H&E stain, 20× magnification, 16 tiles cut from one stomach biopsy slide.
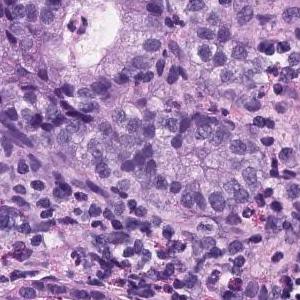
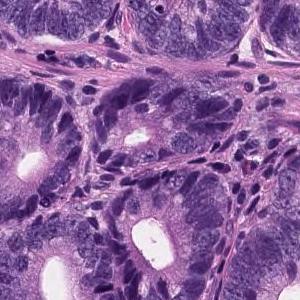
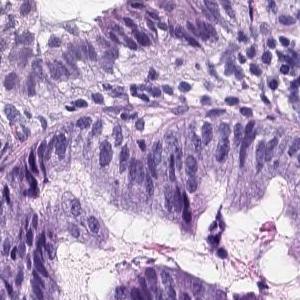
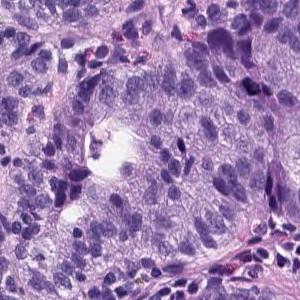
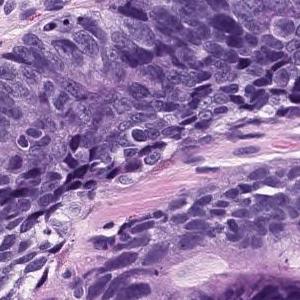
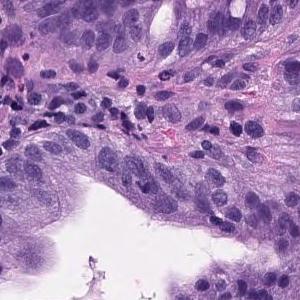
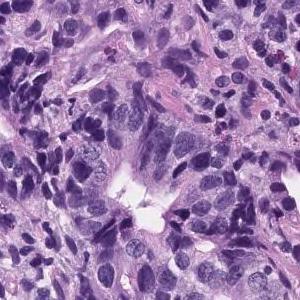
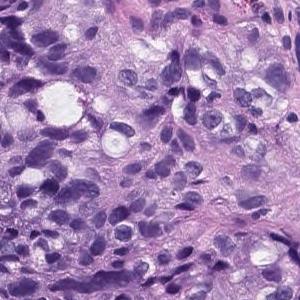
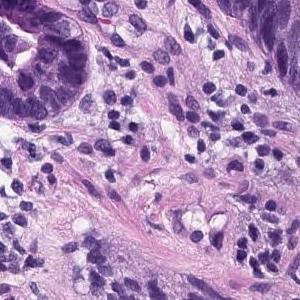
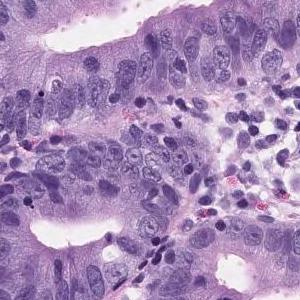
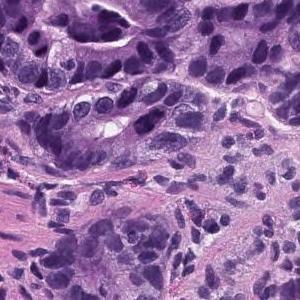
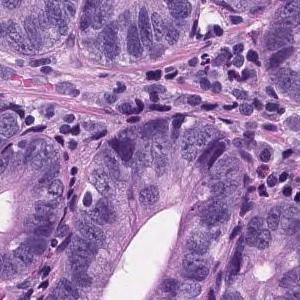
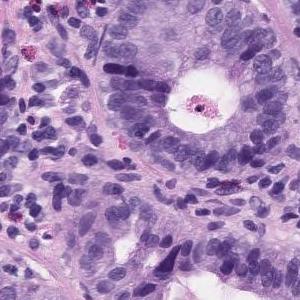
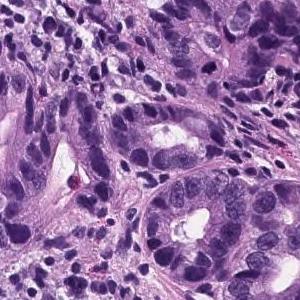
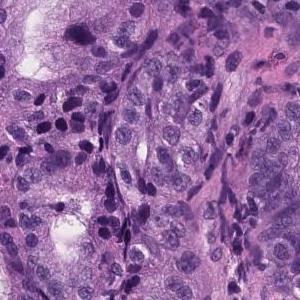
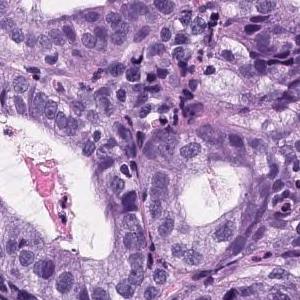
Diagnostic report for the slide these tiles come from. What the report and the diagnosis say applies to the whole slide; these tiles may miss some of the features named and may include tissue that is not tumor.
Tumor tissue consisting of medium-sized and irregular ducts is observed infiltrating in the superficial epithelium. Tumor cells are highly columnar, with nuclei aligned basolaterally and polarized. Well differentiated tubular adenocarcinoma.
